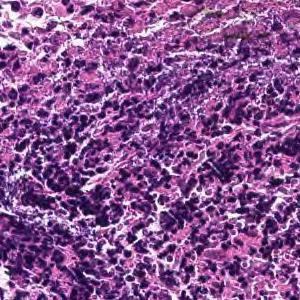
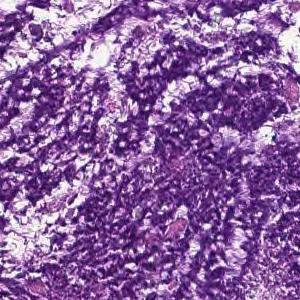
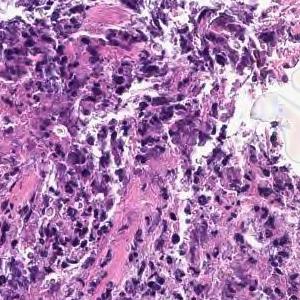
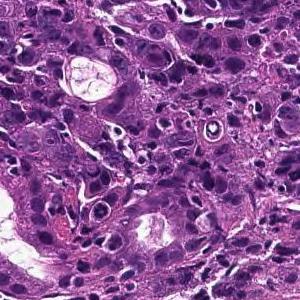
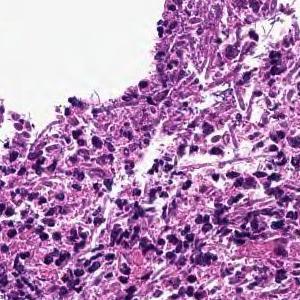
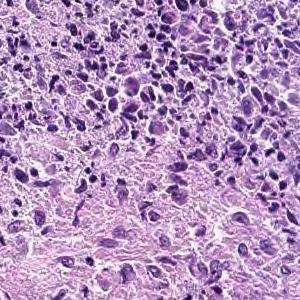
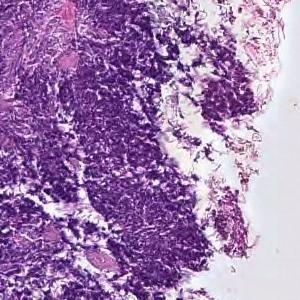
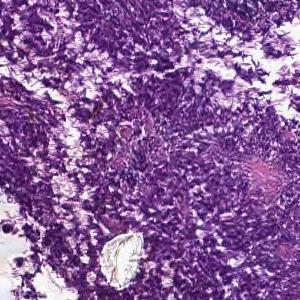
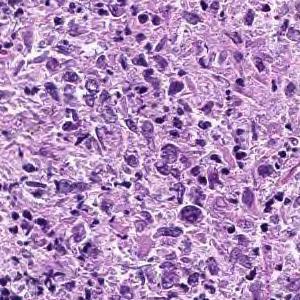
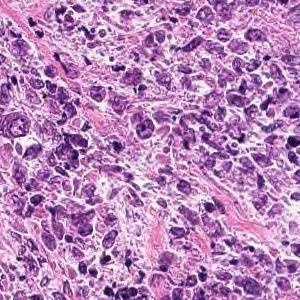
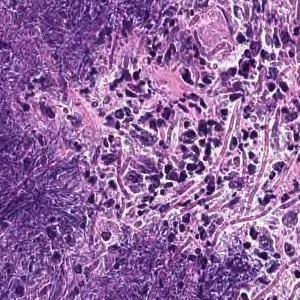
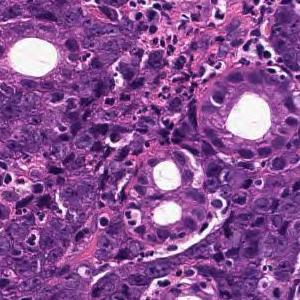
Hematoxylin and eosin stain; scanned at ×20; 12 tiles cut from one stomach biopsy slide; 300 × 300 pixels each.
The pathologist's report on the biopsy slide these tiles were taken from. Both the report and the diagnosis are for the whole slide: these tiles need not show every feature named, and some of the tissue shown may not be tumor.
Cancers with polygonal nuclei do not show glandular formation and are densely, in part, cord-like and proliferate. Poorly differentiated adenocarcinoma
Histologic type: Poorly differentiated adenocarcinoma, non-solid type.
The term "non-solid type" comes from the Japanese Classification of Gastric Carcinoma.
